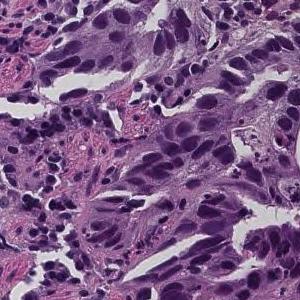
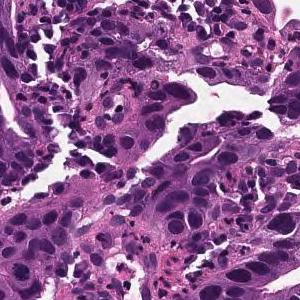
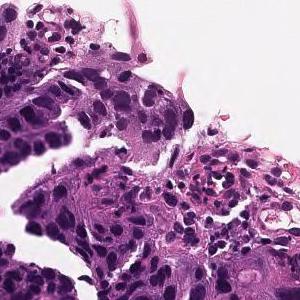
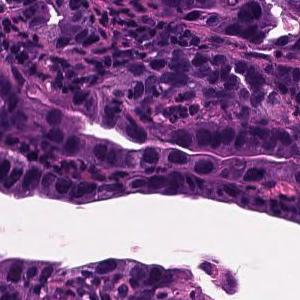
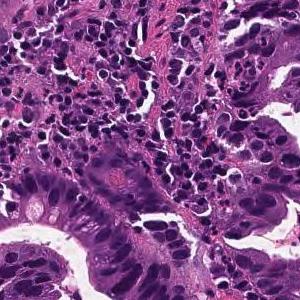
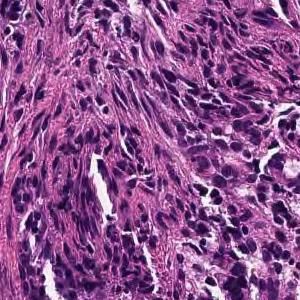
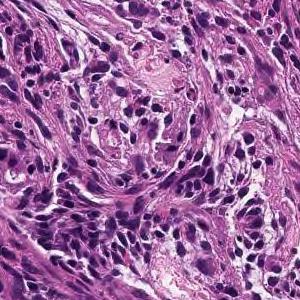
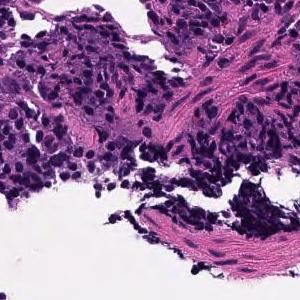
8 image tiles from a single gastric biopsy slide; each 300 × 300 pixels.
Diagnostic report for the slide these tiles come from. The report and the diagnosis cover the entire slide, so not every feature they name need be visible here, and some tissue shown may not be tumor.
On the superficial epithelium, tumor tissue consisting of large irregular glandular ducts partially fused and infiltrated is observed. Well to moderately differentiated tubular adenocarcinoma (well differentiated tubular adenocarcinoma, moderately differentiated tubular adenocarcinoma)
Histologic type: Well to moderately differentiated tubular adenocarcinoma.
